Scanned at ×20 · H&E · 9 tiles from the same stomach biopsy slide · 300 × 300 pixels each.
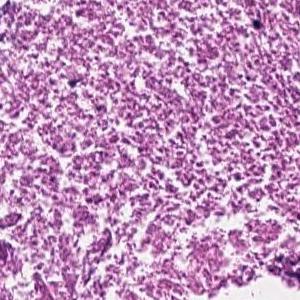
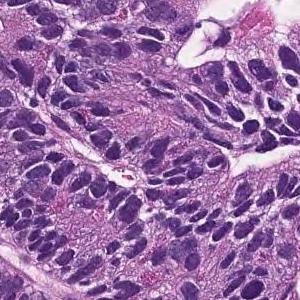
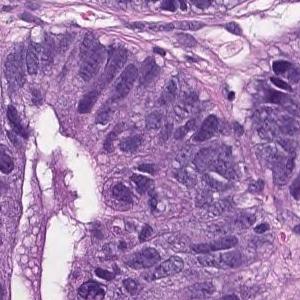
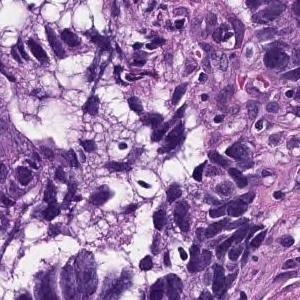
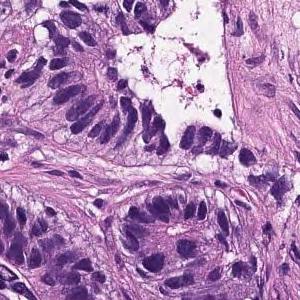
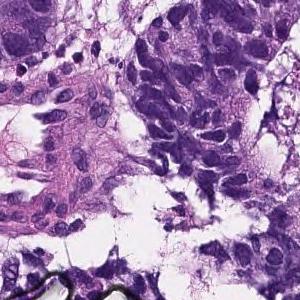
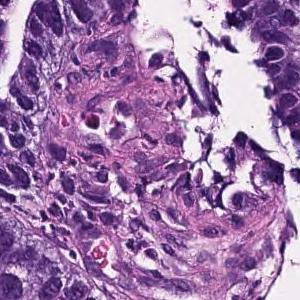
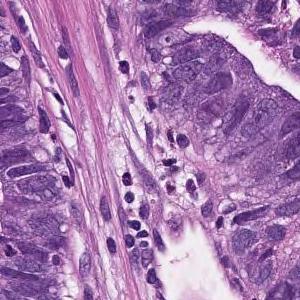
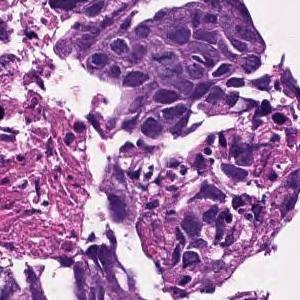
Pathology report for the biopsy slide these tiles were cut from. What the report and the diagnosis say applies to the whole slide; these tiles may miss some of the features named and may include tissue that is not tumor.
In the superficial epithelium, tumor tissue that invades by forming medium-sized to small, irregular ducts is observed. moderately differentiated tubular adenocarcinoma.
